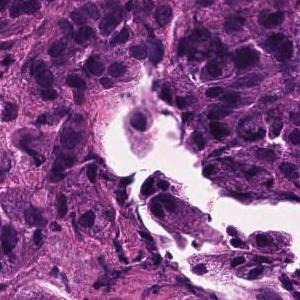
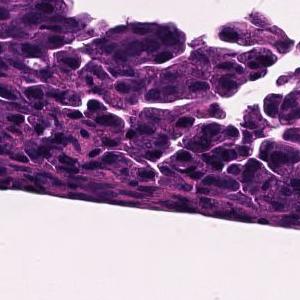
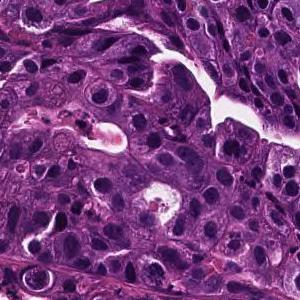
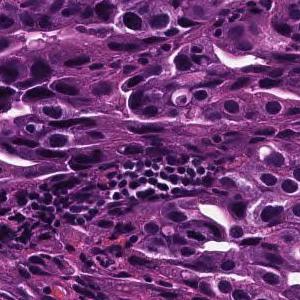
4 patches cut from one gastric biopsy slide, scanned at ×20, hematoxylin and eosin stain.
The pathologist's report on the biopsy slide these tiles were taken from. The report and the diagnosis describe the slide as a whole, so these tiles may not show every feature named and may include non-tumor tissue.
Tumor tissue consisting of medium-sized, cord-like or irregular glandular fusion and infiltration is observed in the superficial epithelium. Poorly differentiated adenocarcinoma, non-solid type or moderately differentiated tubular adenocarcinoma
Classified as moderately to poorly differentiated adenocarcinoma.
The term "non-solid type" comes from the Japanese Classification of Gastric Carcinoma.
